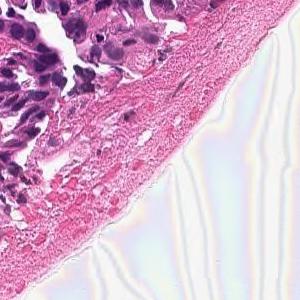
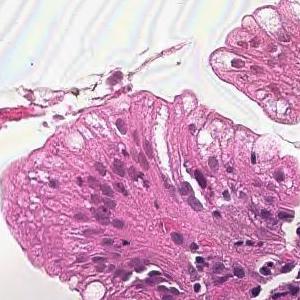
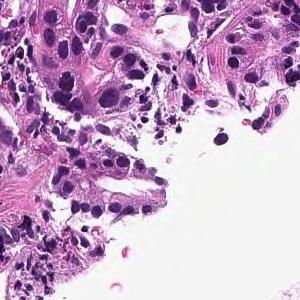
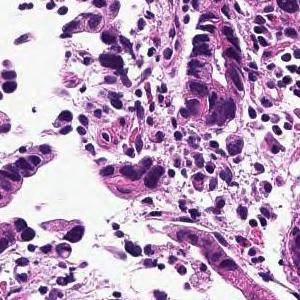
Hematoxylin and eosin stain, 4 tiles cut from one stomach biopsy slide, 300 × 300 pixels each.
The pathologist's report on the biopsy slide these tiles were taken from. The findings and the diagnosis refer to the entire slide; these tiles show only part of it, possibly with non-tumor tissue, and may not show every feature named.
On the superficial epithelium, tumor tissue consisting of large, irregular glandular ducts partially fused and infiltrated is observed. Well to moderately differentiated tubular adenocarcinoma (well differentiated tubular adenocarcinoma, moderately differentiated tubular adenocarcinoma)
Classified as well to moderately differentiated tubular adenocarcinoma.
